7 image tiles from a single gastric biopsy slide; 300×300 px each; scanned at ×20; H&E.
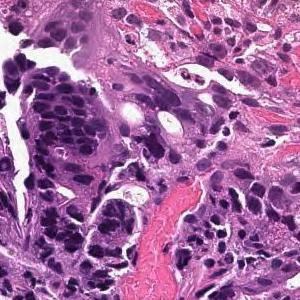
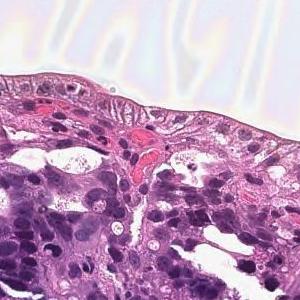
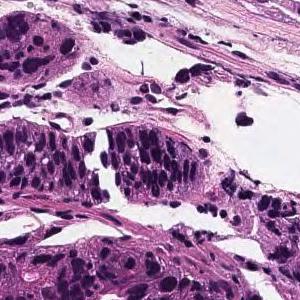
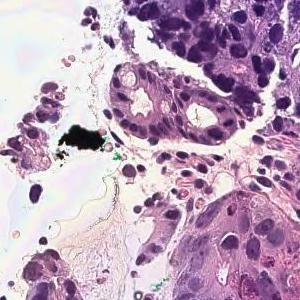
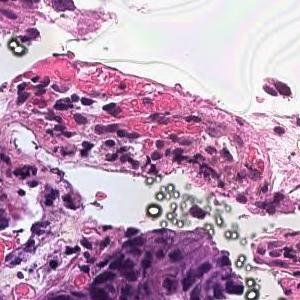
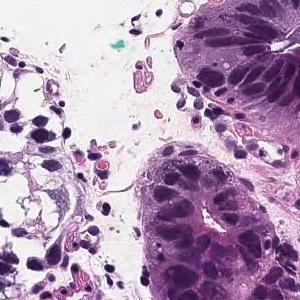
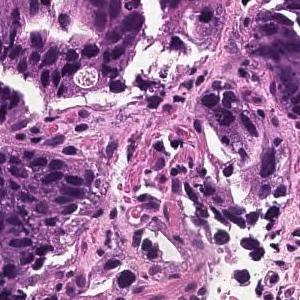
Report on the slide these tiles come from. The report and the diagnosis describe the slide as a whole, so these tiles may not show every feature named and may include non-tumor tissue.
In the superficial epithelium, tumor tissue that invades by forming medium-sized to small, irregular ducts is observed. moderately differentiated tubular adenocarcinoma.
